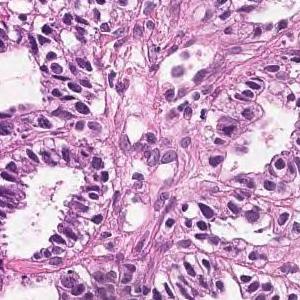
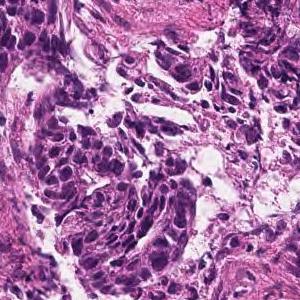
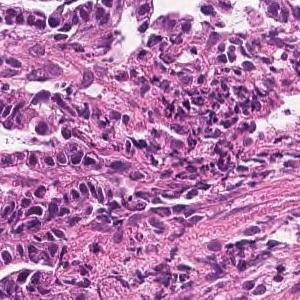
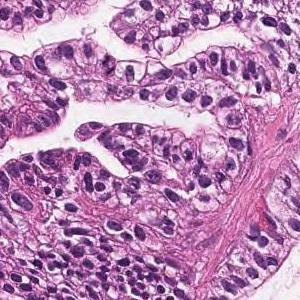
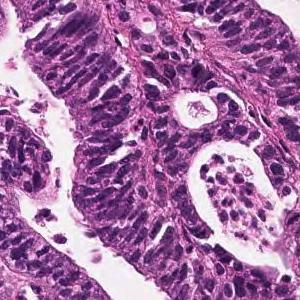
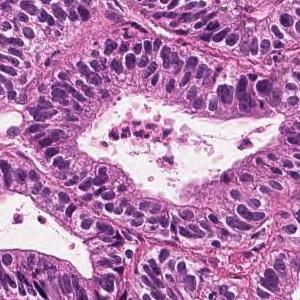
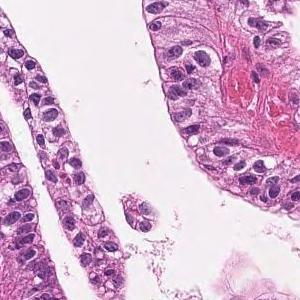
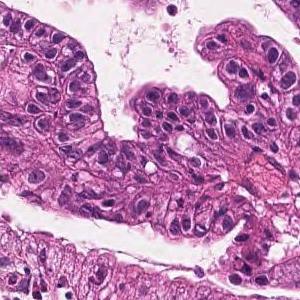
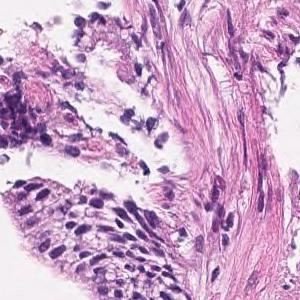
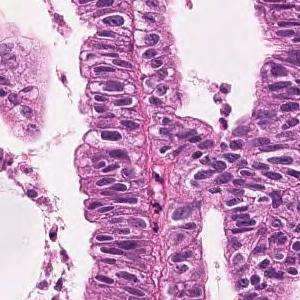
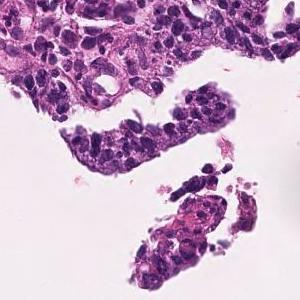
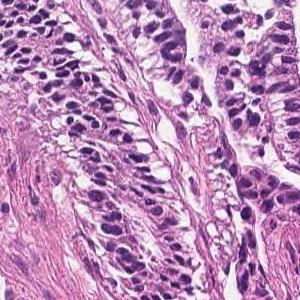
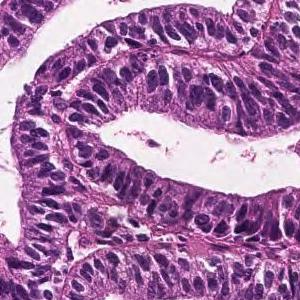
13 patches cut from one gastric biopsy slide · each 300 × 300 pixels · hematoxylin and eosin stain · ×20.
Pathology report for the slide these tiles were cut from. The report and the diagnosis describe the slide as a whole, so these tiles may not show every feature named and may include non-tumor tissue.
Tumor cells are large, highly columnar, large club-shaped nuclei, and are associated with chromatin aggregation. Papillary adenocarcinoma.
